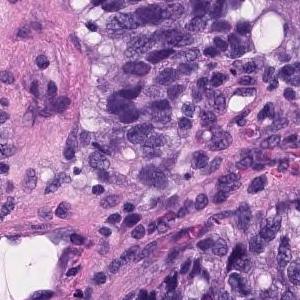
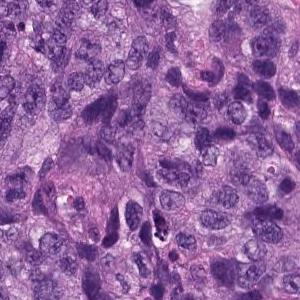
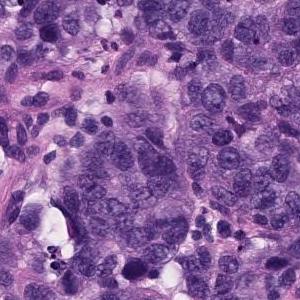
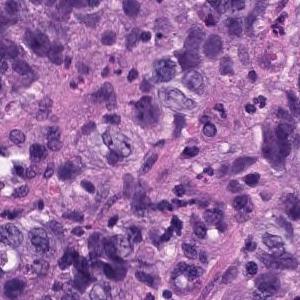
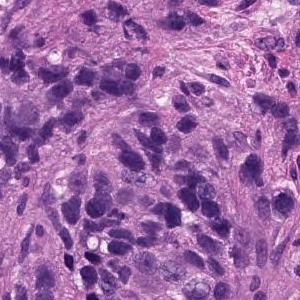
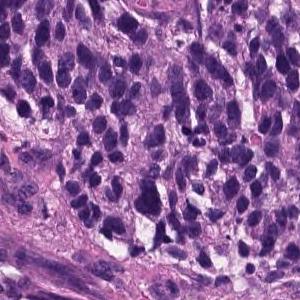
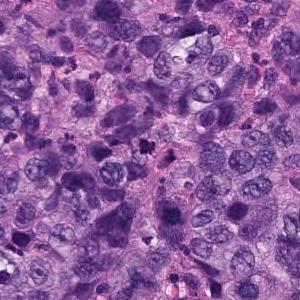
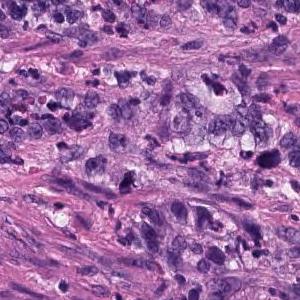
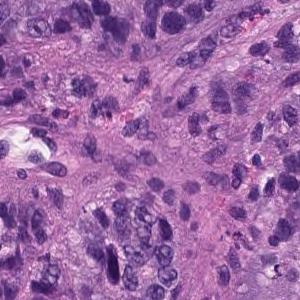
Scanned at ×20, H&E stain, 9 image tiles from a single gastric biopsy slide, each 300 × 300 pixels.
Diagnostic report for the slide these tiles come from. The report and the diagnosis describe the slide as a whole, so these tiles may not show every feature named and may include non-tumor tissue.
Atypical l cells with atypical nuclei under the mucosa growing in isolation and scattered. Poorly differentiated adenocarcinoma (poorly differentiated adenocarcinoma, non-solid type)
Tumor subtype: poorly differentiated adenocarcinoma, non-solid type.
The non-solid type named here is a Japanese Classification of Gastric Carcinoma category.
